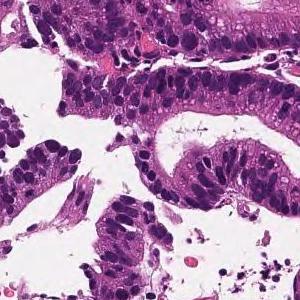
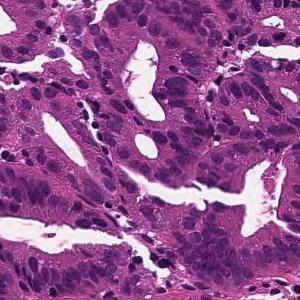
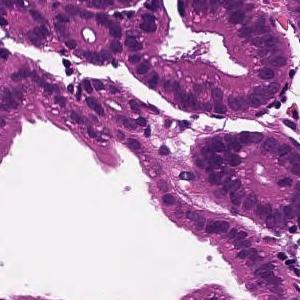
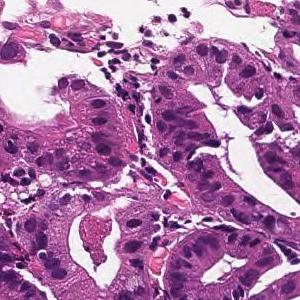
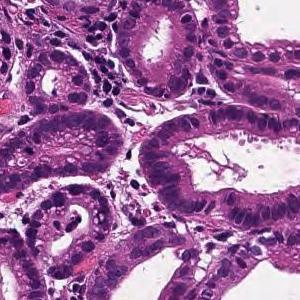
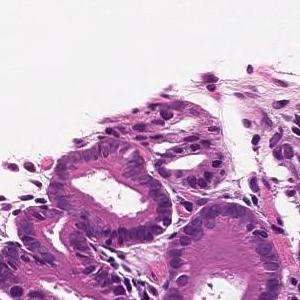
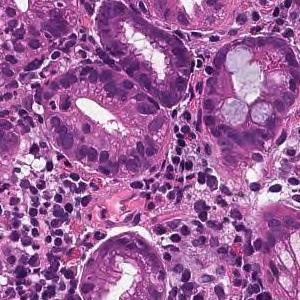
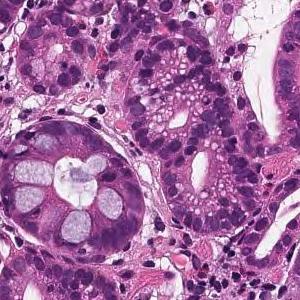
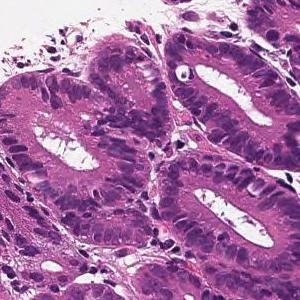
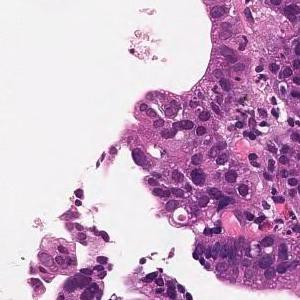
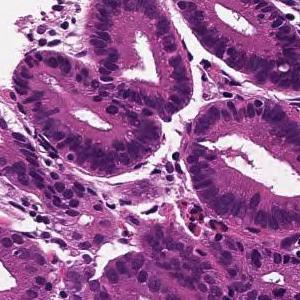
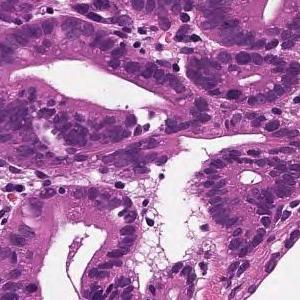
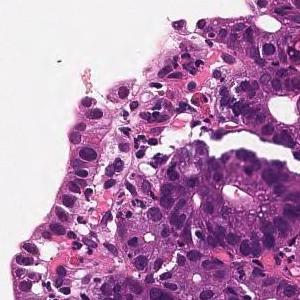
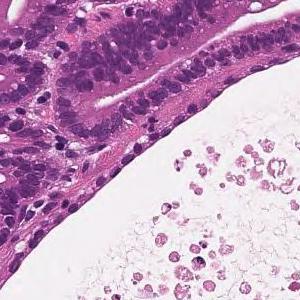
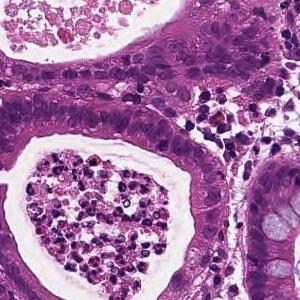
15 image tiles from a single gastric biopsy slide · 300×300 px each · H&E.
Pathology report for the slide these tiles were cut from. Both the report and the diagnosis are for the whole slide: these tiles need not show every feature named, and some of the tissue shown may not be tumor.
In the superficial epithelium, tumor tissue that invades by forming medium-sized to small, irregular ducts is observed. moderately differentiated tubular adenocarcinoma.
